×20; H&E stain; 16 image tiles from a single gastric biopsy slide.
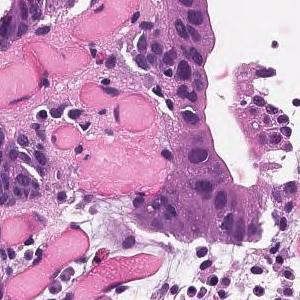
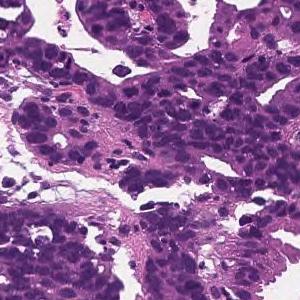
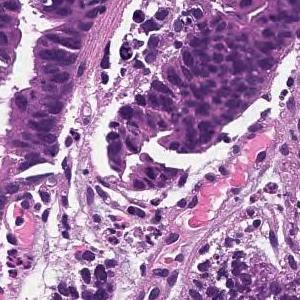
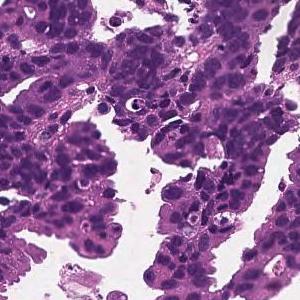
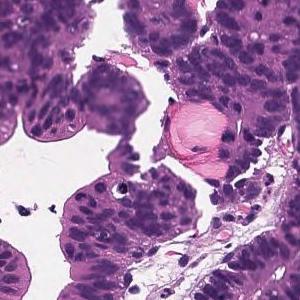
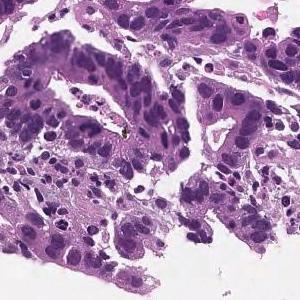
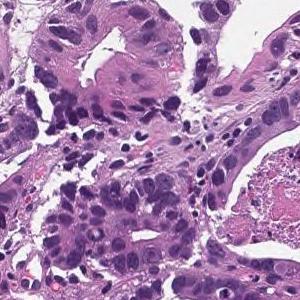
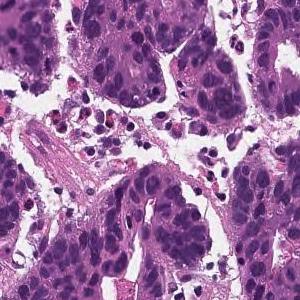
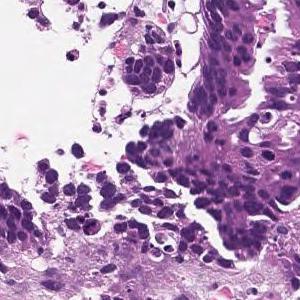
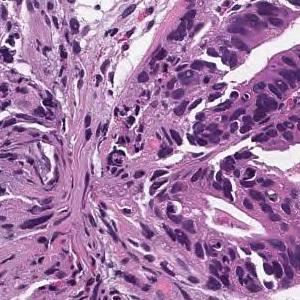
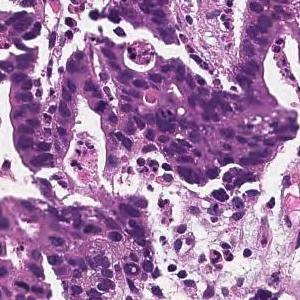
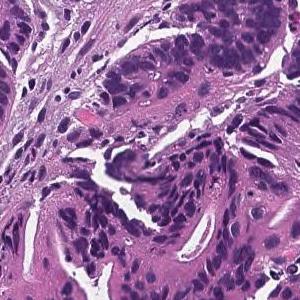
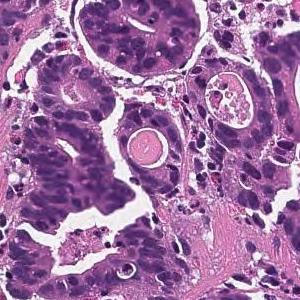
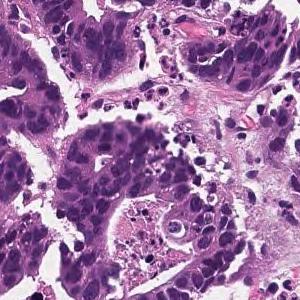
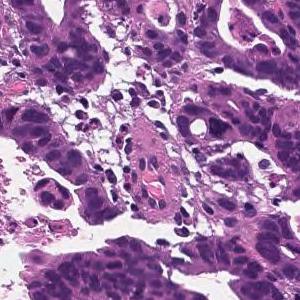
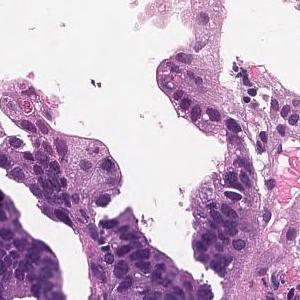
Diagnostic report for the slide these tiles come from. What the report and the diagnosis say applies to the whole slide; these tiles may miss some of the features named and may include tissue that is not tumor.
In the superficial epithelium, tumor tissue that invades by forming medium-sized to small, irregular ducts is observed. moderately differentiated tubular adenocarcinoma.
